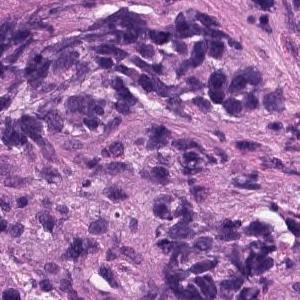
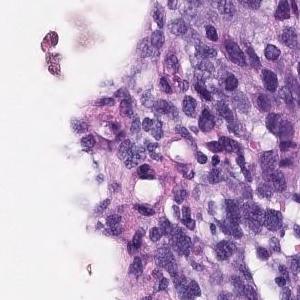
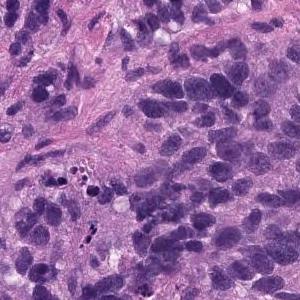
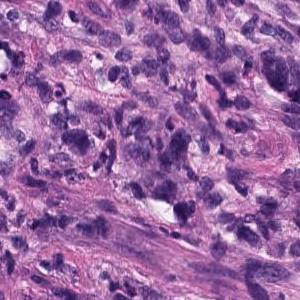
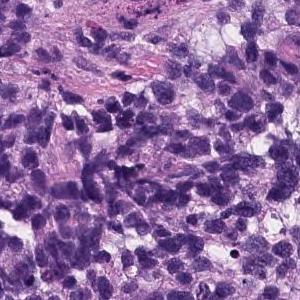
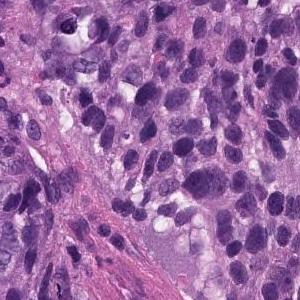
6 patches cut from one gastric biopsy slide · H&E · ×20.
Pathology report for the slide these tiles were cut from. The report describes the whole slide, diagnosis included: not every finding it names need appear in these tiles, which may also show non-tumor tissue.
Atypical l cells with atypical nuclei under the mucosa growing in isolation and scattered. Poorly differentiated adenocarcinoma (poorly differentiated adenocarcinoma, non-solid type)
Tumor subtype: poorly differentiated adenocarcinoma, non-solid type.
The non-solid type named here is a Japanese Classification of Gastric Carcinoma category.
